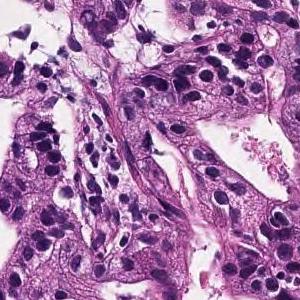
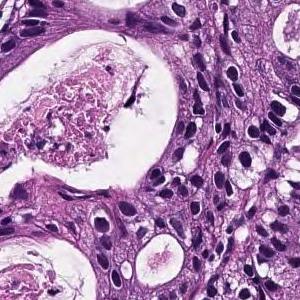
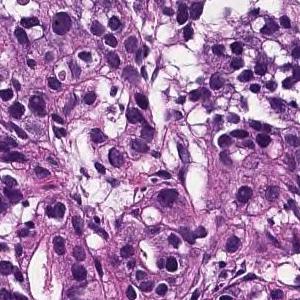
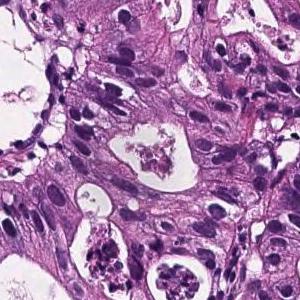
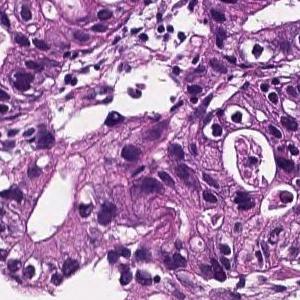
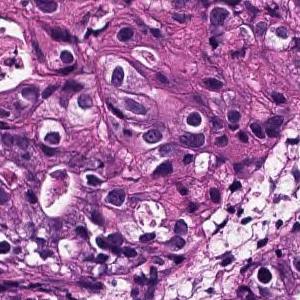
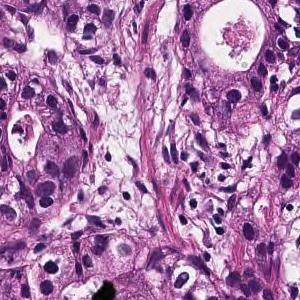
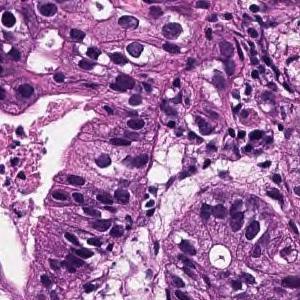
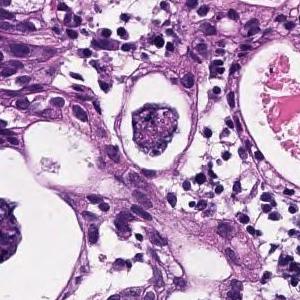
9 image tiles from a single gastric biopsy slide · 300 × 300 pixels each · H&E.
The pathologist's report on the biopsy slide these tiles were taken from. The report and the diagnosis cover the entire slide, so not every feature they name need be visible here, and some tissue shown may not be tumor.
From the superficial epithelium to the muscularis mucosae, tumor tissue infiltrating by forming medium-sized irregular gland ducts is observed. Large tumor cells exhibit large nucleus and hyperchromatism. Well differentiated tubular adenocarcinoma
